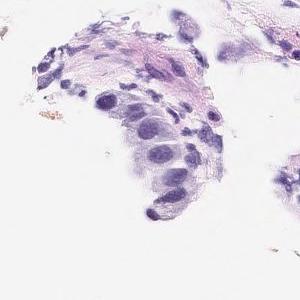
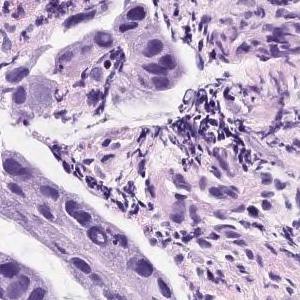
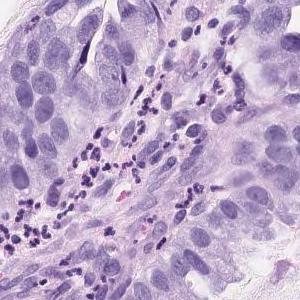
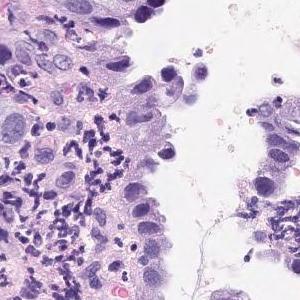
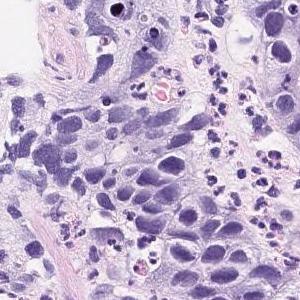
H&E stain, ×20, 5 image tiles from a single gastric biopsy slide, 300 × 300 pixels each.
Diagnostic report for the slide these tiles come from. The findings and the diagnosis refer to the entire slide; these tiles show only part of it, possibly with non-tumor tissue, and may not show every feature named.
Atypical l cells with atypical nuclei forming solid or diffuse vesicles or small irregular atypical ducts and growing in a complex manner. Well differentiated tubular adenocarcinoma
